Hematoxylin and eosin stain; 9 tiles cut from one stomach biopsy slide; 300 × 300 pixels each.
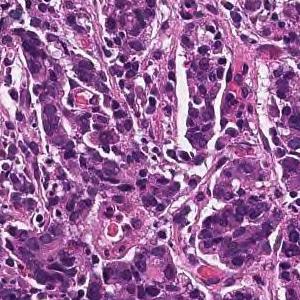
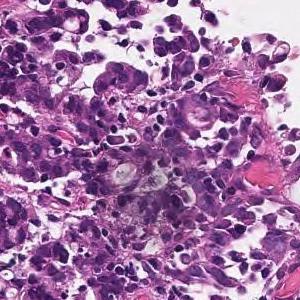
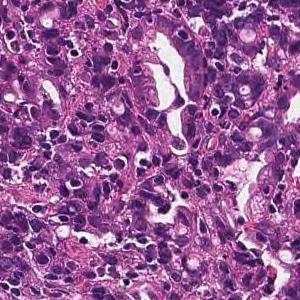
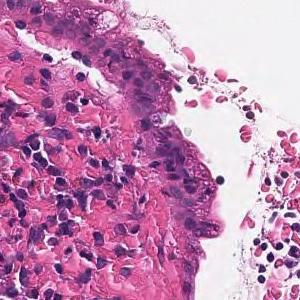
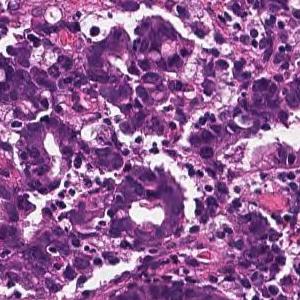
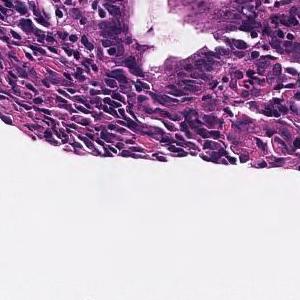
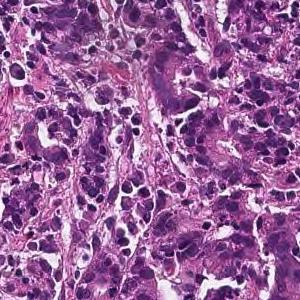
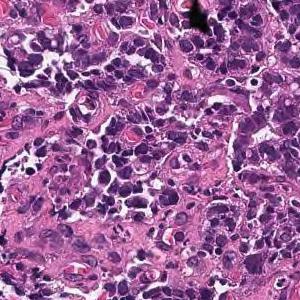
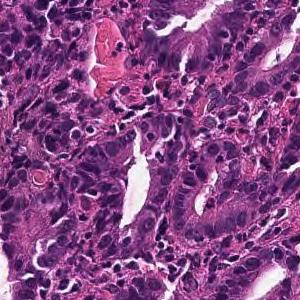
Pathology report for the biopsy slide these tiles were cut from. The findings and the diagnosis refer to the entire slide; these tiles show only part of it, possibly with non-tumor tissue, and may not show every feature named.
In the superficial epithelium, tumor tissue that invades by forming medium-sized to small, irregular ducts is observed. moderately differentiated tubular adenocarcinoma.
